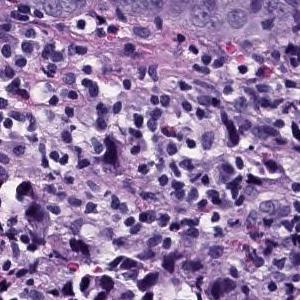
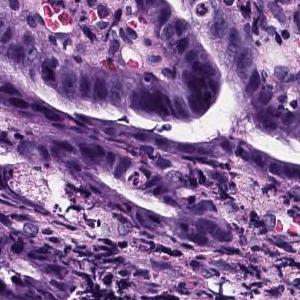
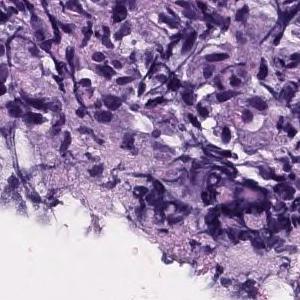
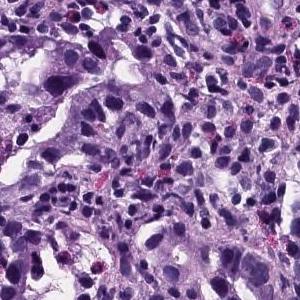
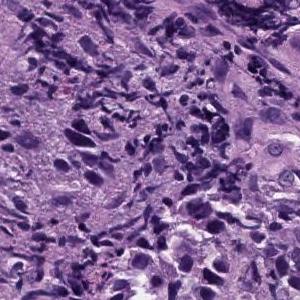
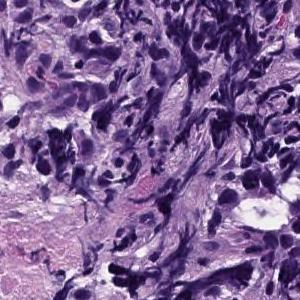
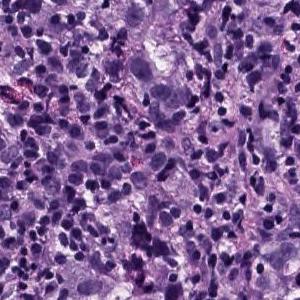
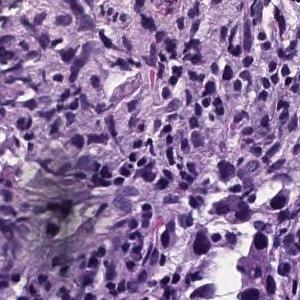
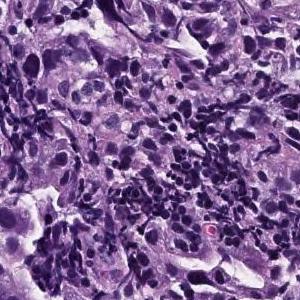
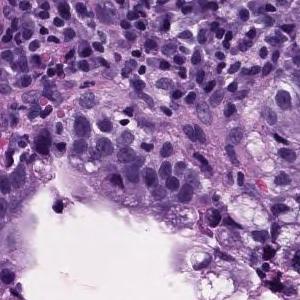
10 image tiles from a single gastric biopsy slide; each 300 × 300 pixels; H&E stain; ×20.
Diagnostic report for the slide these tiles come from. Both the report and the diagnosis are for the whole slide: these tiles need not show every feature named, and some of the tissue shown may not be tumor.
Atypical epithelial cells infiltrating and proliferating while forming solid or cord-like fused glandular cavities of different sizes is observed. moderately differentiated tubular adenocarcinoma, poorly differentiated adenocarcinoma.
Subtype: Moderately to poorly differentiated adenocarcinoma.
